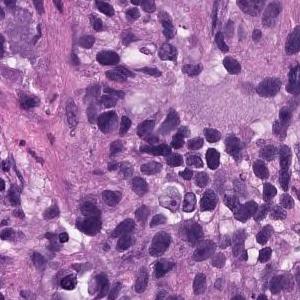
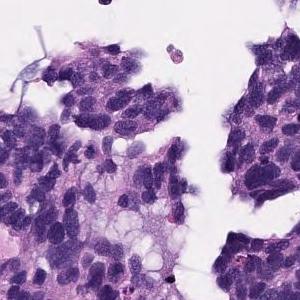
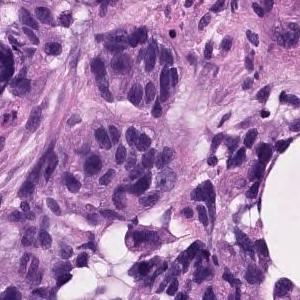
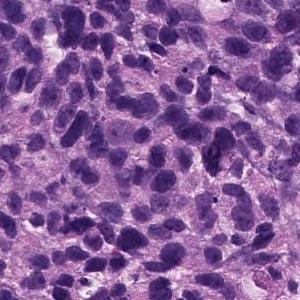
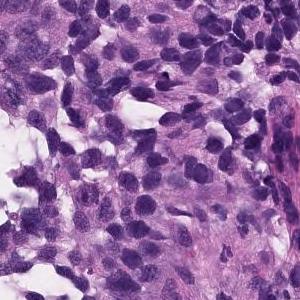
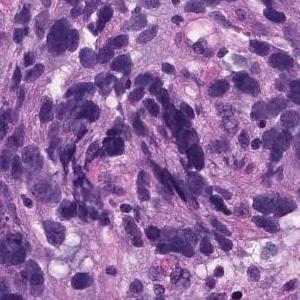
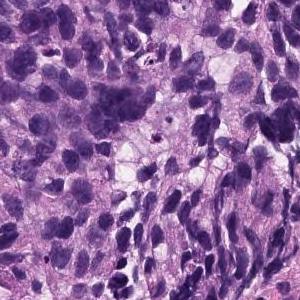
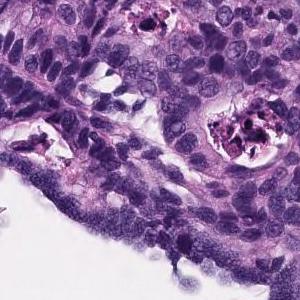
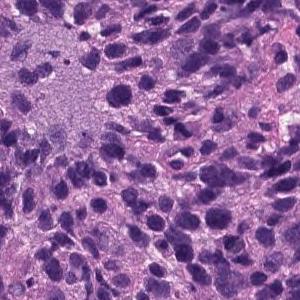
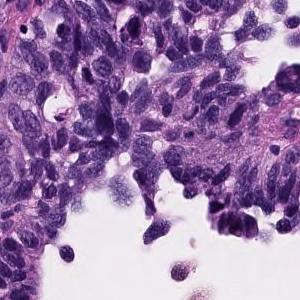
H&E stain; 10 image tiles from a single gastric biopsy slide; 300×300 px each.
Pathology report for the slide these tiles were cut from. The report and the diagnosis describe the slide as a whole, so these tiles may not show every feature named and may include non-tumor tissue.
Atypical l cells with atypical nuclei under the mucosa growing in isolation and scattered. Poorly differentiated adenocarcinoma (poorly differentiated adenocarcinoma, non-solid type)
Classified as poorly differentiated adenocarcinoma, non-solid type.
The term "non-solid type" comes from the Japanese Classification of Gastric Carcinoma.
